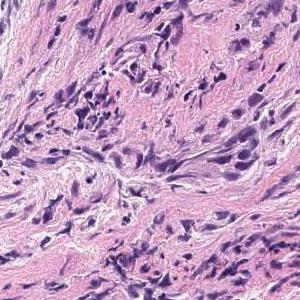
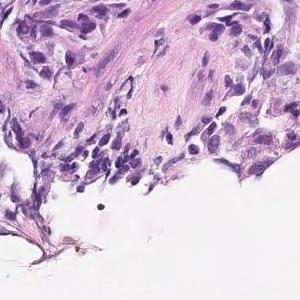
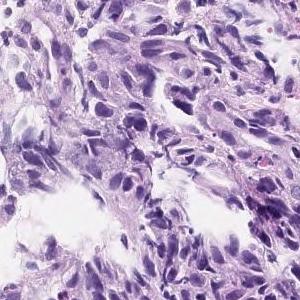
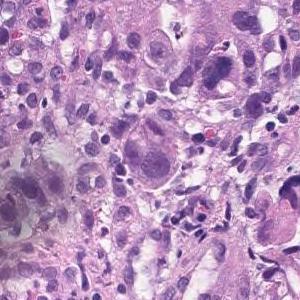
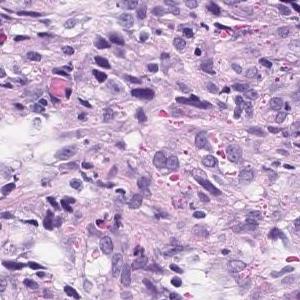
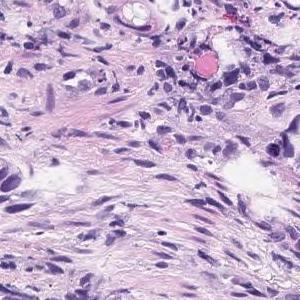
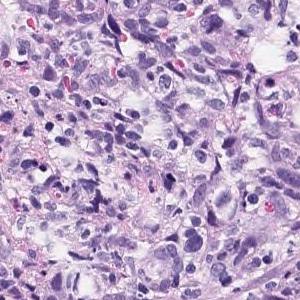
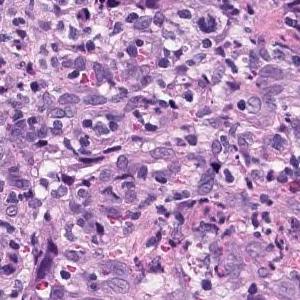
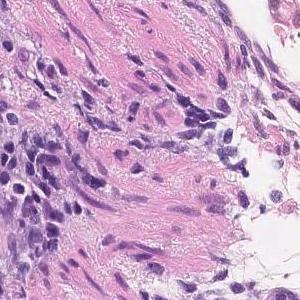
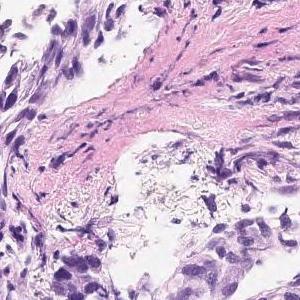
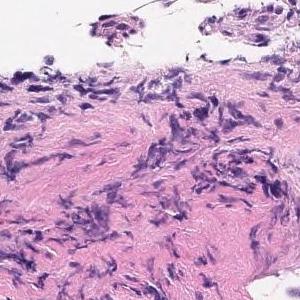
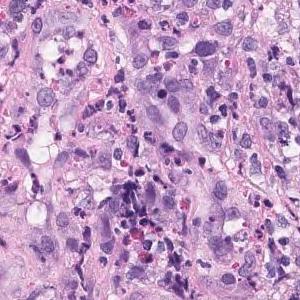
20× magnification; H&E stain; 12 image tiles from a single gastric biopsy slide; 300 × 300 pixels each.
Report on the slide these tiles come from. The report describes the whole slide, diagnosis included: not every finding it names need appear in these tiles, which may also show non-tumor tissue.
Group 5, Moderately differentiated adenocarcinoma
Classified as moderately differentiated tubular adenocarcinoma.
